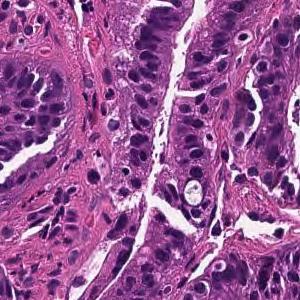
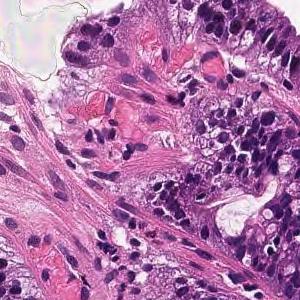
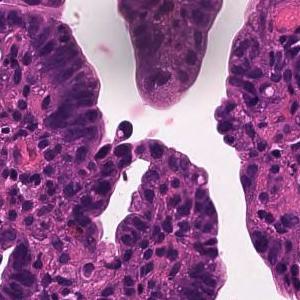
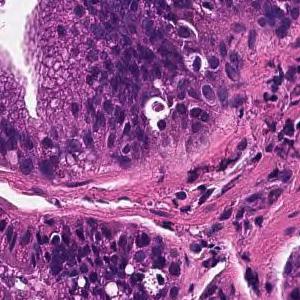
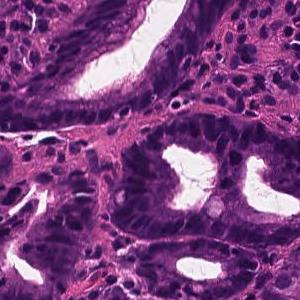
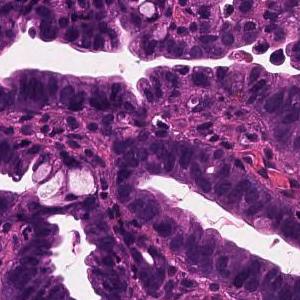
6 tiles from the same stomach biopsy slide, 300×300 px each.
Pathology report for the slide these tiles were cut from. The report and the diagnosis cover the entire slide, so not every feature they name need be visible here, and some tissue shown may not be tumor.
On the superficial epithelium, tumor tissue that infiltrates by forming medium-sized papillary or small irregular ducts is observed. Papillary adenocarcinoma
